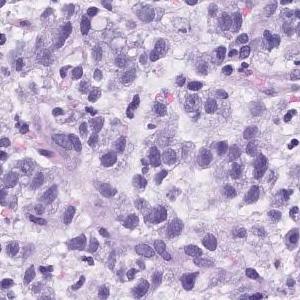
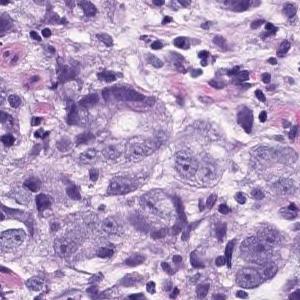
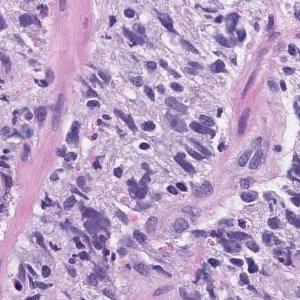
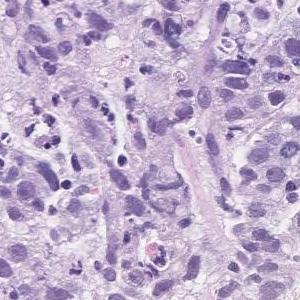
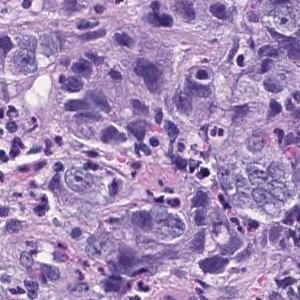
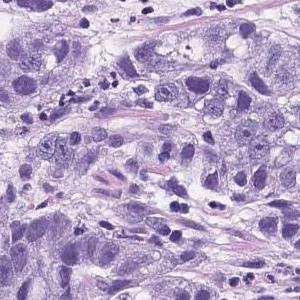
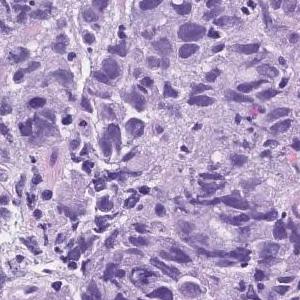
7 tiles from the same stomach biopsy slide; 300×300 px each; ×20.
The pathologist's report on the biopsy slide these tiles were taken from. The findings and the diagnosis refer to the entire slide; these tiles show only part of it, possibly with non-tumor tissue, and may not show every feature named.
Atypical l cells with atypical nuclei forming solid vesicles or small irregular atypical ducts that proliferate in a complex manner. poorly differentiated adenocarcinoma, solid type, moderately differentiated tubular adenocarcinoma
The solid type named here is a Japanese Classification of Gastric Carcinoma category; WHO 2019 calls it tubular adenocarcinoma, poorly differentiated.
